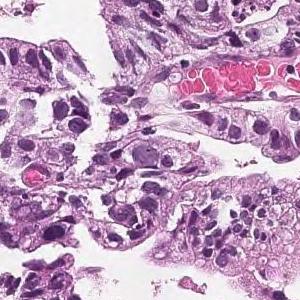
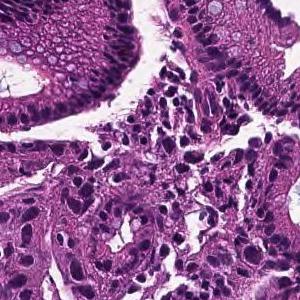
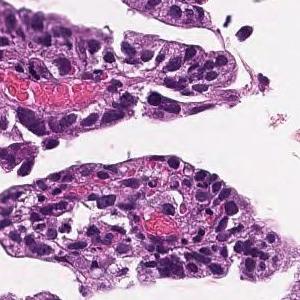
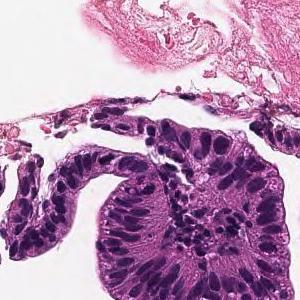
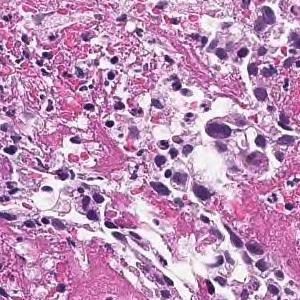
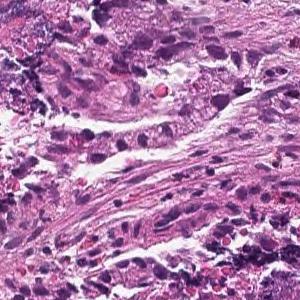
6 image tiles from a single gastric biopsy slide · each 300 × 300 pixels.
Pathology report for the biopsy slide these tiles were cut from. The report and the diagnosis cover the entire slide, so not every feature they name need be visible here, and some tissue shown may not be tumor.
Tumor tissue consisting of medium-sized, cord-like or irregular glandular infiltration is observed in the superficial epithelium. Poorly differentiated adenocarcinoma, non-solid type or moderately differentiated tubular adenocarcinoma
Classified as moderately to poorly differentiated adenocarcinoma.
"Non-solid type" is a category of the Japanese Classification of Gastric Carcinoma.
